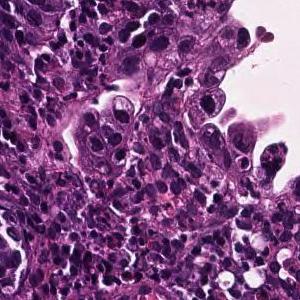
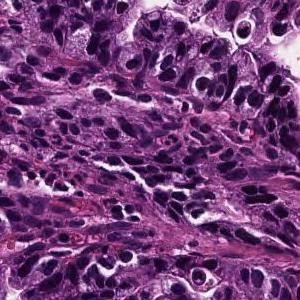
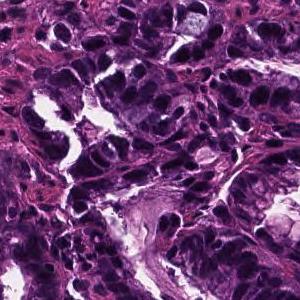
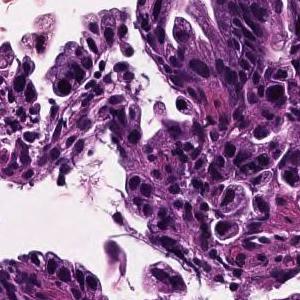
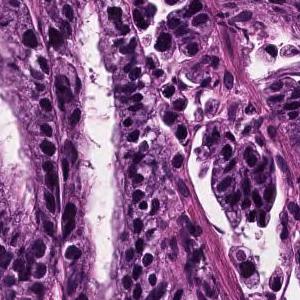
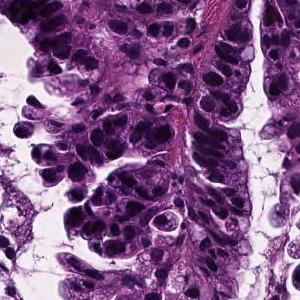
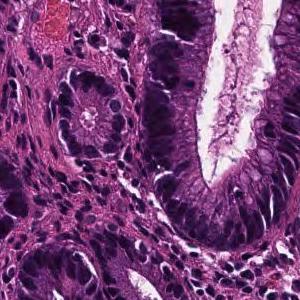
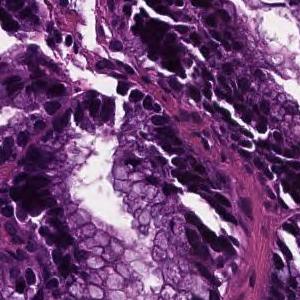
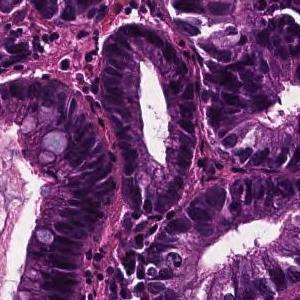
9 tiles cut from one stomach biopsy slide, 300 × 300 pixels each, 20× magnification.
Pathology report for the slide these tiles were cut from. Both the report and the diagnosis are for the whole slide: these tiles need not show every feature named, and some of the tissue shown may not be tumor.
In the superficial epithelium, tumor tissue that invades by forming medium-sized to small, irregular ducts is observed. Well differentiated tubular adenocarcinoma.
